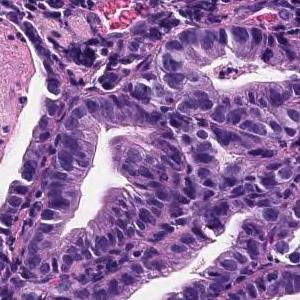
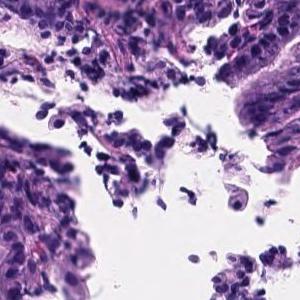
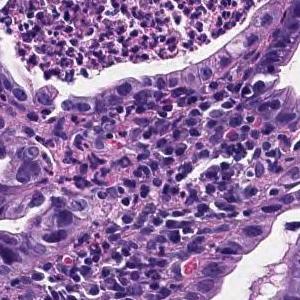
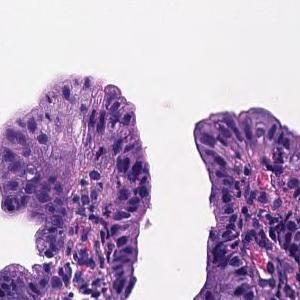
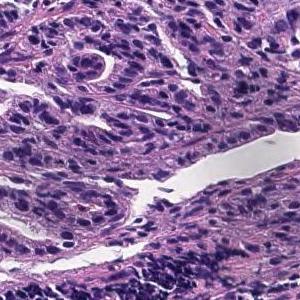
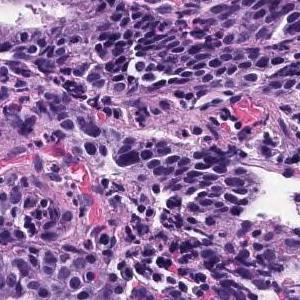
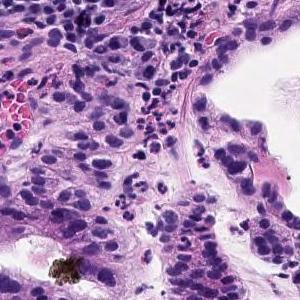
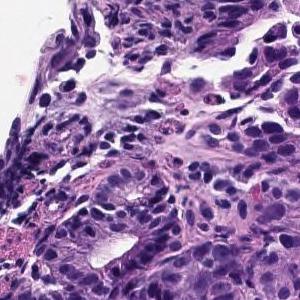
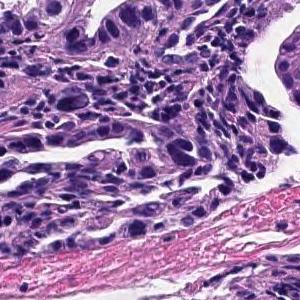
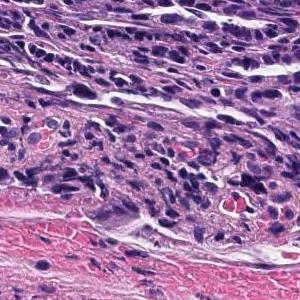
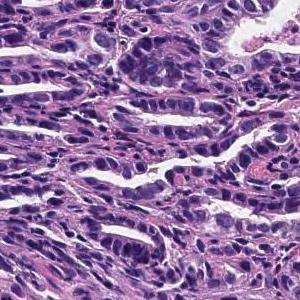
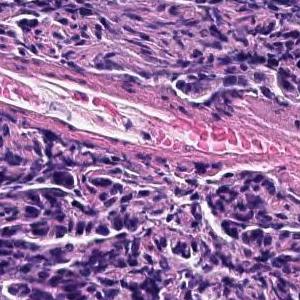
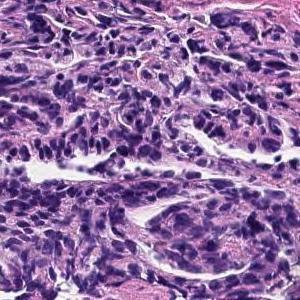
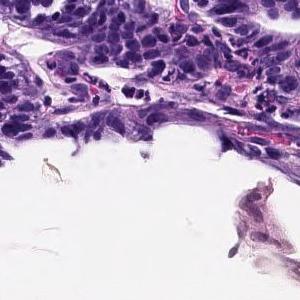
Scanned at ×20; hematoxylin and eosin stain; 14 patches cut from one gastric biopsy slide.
The pathologist's report on the biopsy slide these tiles were taken from. What the report and the diagnosis say applies to the whole slide; these tiles may miss some of the features named and may include tissue that is not tumor.
The superficial tumors shows large papillary structures or large and small ducts and infiltrates. Papillary adenocarcinoma.
